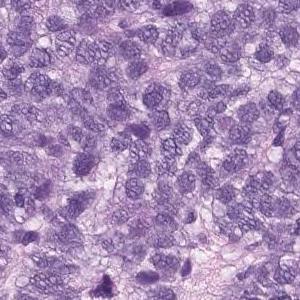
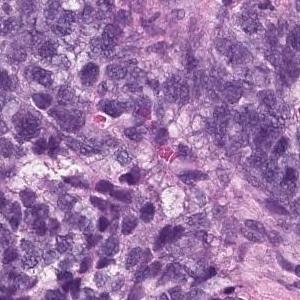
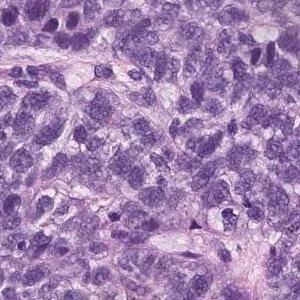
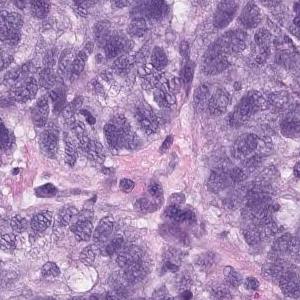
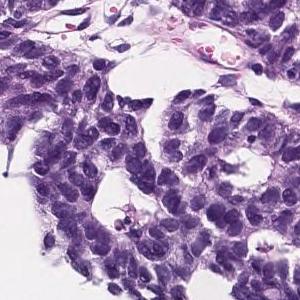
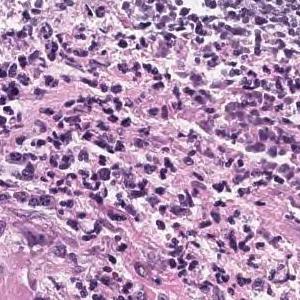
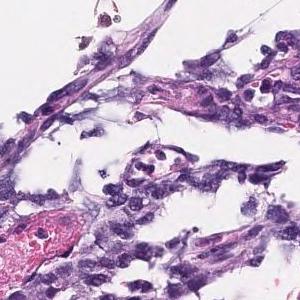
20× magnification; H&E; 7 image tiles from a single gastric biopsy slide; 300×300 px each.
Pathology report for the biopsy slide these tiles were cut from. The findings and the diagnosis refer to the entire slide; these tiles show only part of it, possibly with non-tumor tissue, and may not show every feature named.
Epithelial cells with swollen nuclei with atypia invasively proliferating while forming vesicles is observed. Poorly differentiated adenocarcinoma
Classified as poorly differentiated adenocarcinoma, solid type (Japanese Classification of Gastric Carcinoma). The WHO 2019 equivalent is tubular adenocarcinoma, poorly differentiated.
